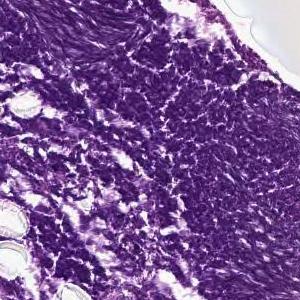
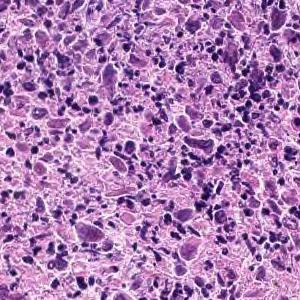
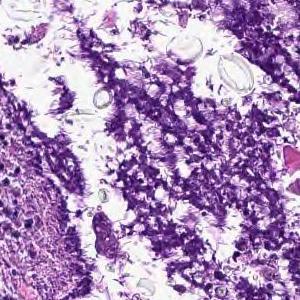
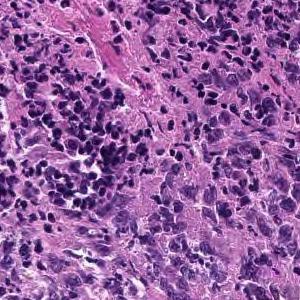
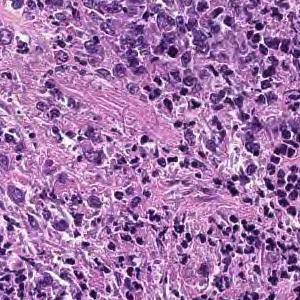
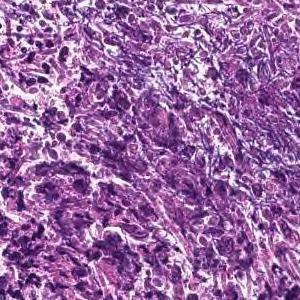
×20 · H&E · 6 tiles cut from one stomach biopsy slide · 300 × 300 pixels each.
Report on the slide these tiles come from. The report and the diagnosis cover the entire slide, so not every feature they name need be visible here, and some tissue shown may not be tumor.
Cancers with polygonal nuclei do not show glandular formation and are densely, in part, cord-like and proliferate. Poorly differentiated adenocarcinoma
Tumor subtype: poorly differentiated adenocarcinoma, non-solid type.
"Non-solid type" is a category of the Japanese Classification of Gastric Carcinoma.
